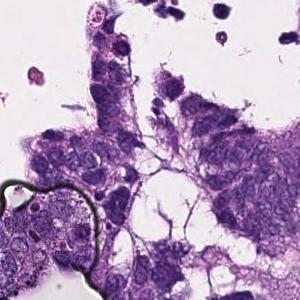
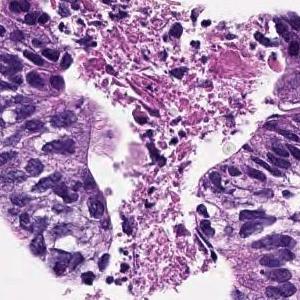
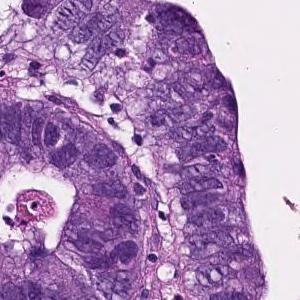
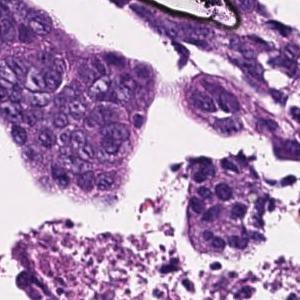
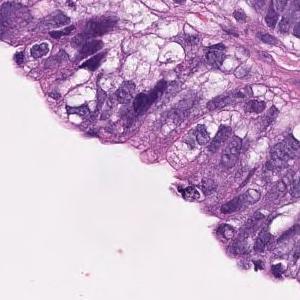
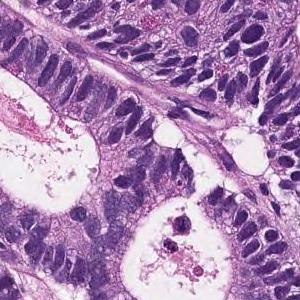
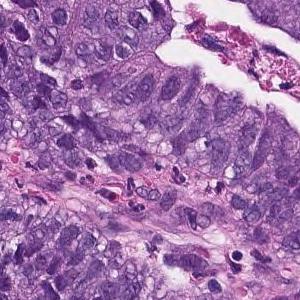
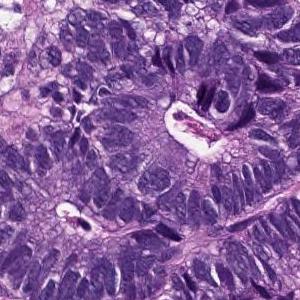
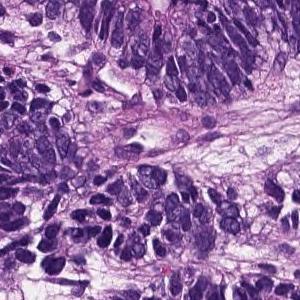
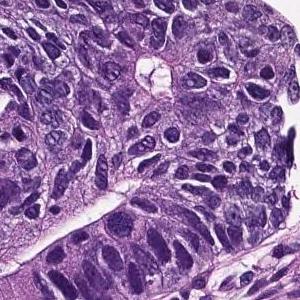
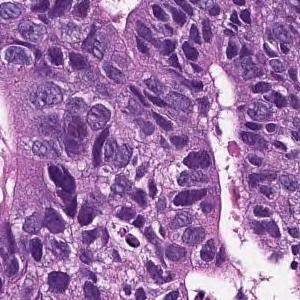
20× magnification, H&E stain, 11 tiles from the same stomach biopsy slide.
Pathology report for the slide these tiles were cut from. What the report and the diagnosis say applies to the whole slide; these tiles may miss some of the features named and may include tissue that is not tumor.
In the superficial epithelium, tumor tissue that invades by forming medium-sized to small, irregular ducts is observed. moderately differentiated tubular adenocarcinoma.
